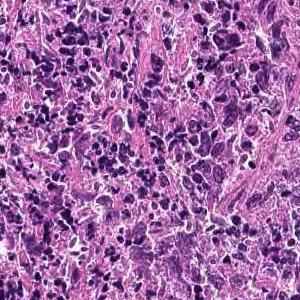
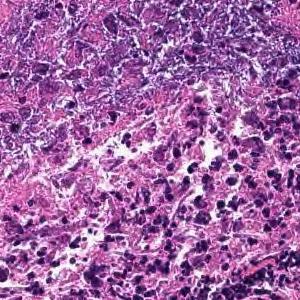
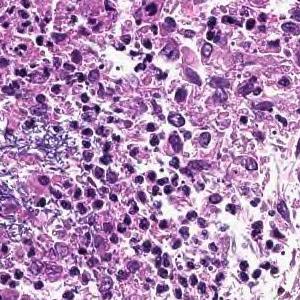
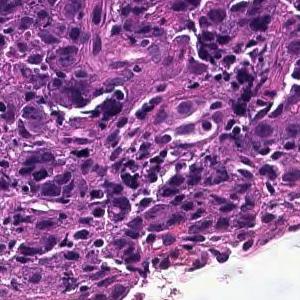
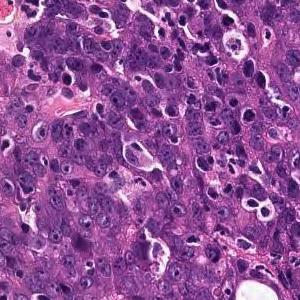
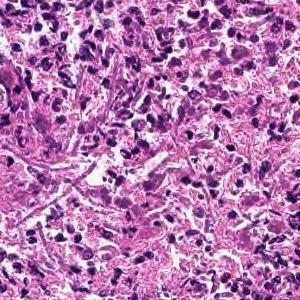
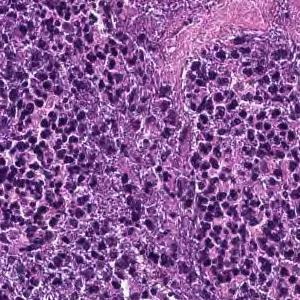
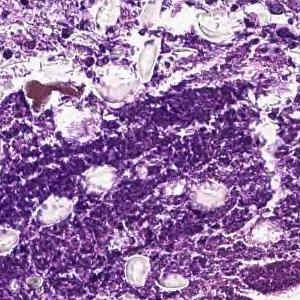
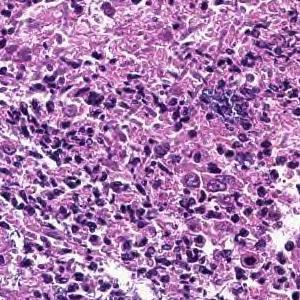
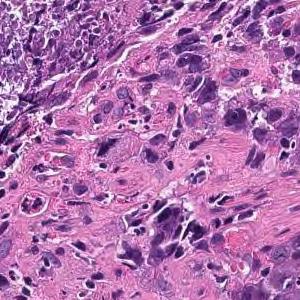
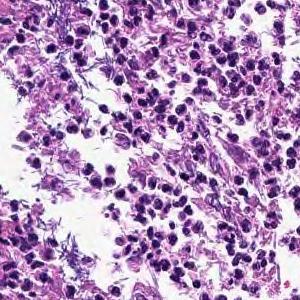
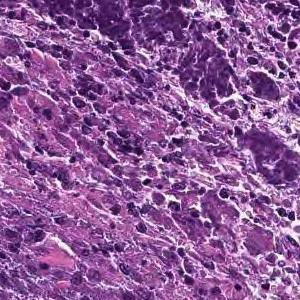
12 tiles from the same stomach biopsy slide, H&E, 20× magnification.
Pathology report for the biopsy slide these tiles were cut from. The report and the diagnosis describe the slide as a whole, so these tiles may not show every feature named and may include non-tumor tissue.
Cancers with polygonal nuclei do not show glandular formation and are densely, in part, cord-like and proliferate. Poorly differentiated adenocarcinoma
Histologic type: Poorly differentiated adenocarcinoma, non-solid type.
"Non-solid type" is a category of the Japanese Classification of Gastric Carcinoma.
